×20 · hematoxylin and eosin stain · 15 image tiles from a single gastric biopsy slide · 300×300 px each.
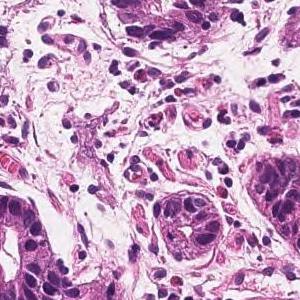
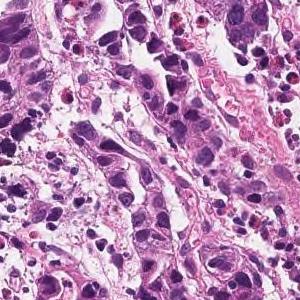
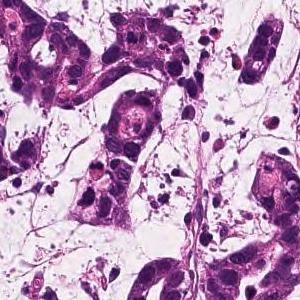
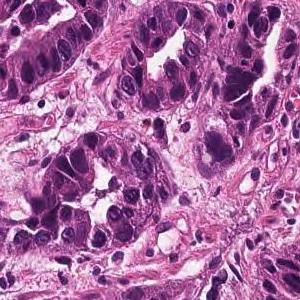
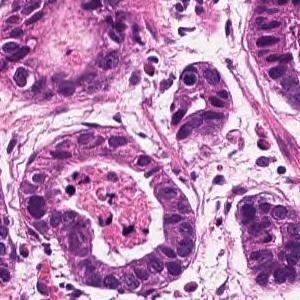
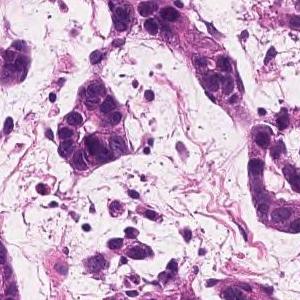
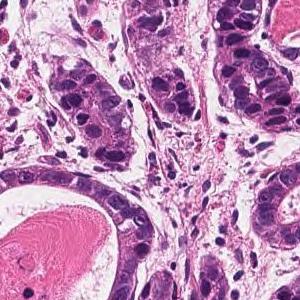
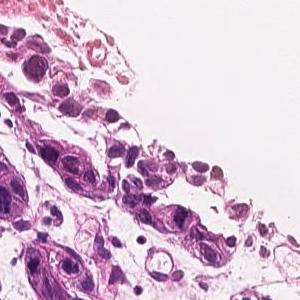
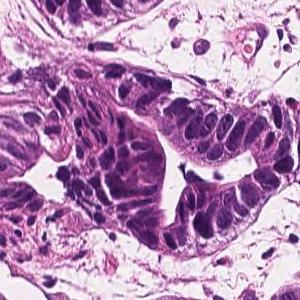
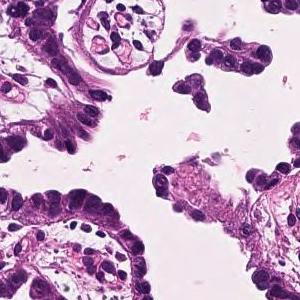
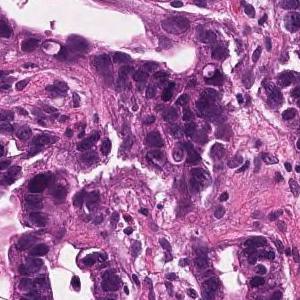
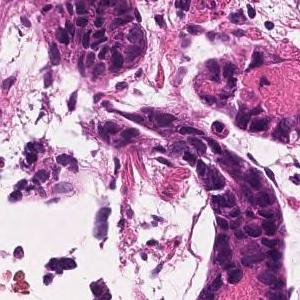
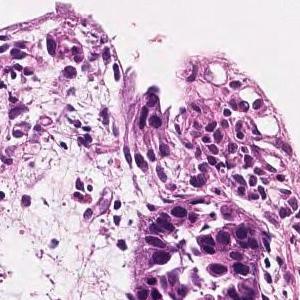
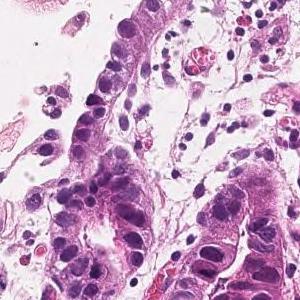
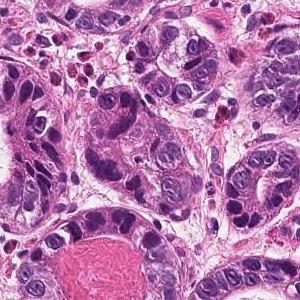
Diagnostic report for the slide these tiles come from. What the report and the diagnosis say applies to the whole slide; these tiles may miss some of the features named and may include tissue that is not tumor.
In the superficial epithelium, tumor tissue that invades by forming medium-sized to small, irregular ducts is observed. Well differentiated tubular adenocarcinoma.
